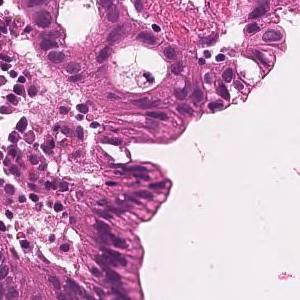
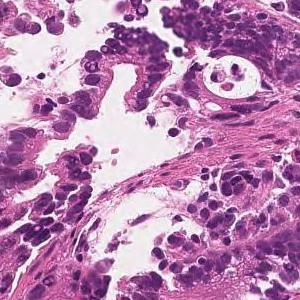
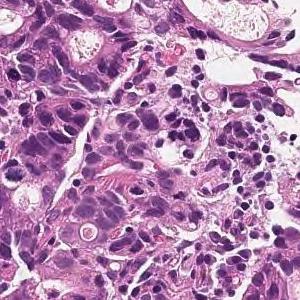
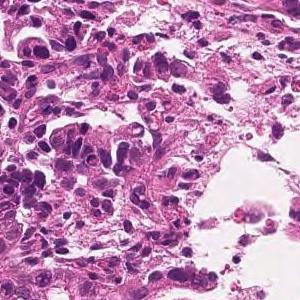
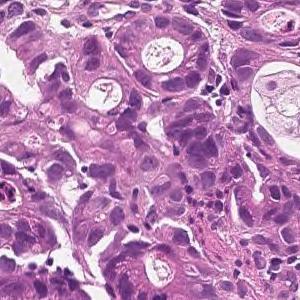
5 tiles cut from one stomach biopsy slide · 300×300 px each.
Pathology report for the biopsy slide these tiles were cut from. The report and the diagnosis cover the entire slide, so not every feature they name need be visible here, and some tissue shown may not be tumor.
On the superficial epithelium, tumor tissue is found in which medium-sized irregular gland ducts fuse with each other and infiltrate. moderately differentiated tubular adenocarcinoma
